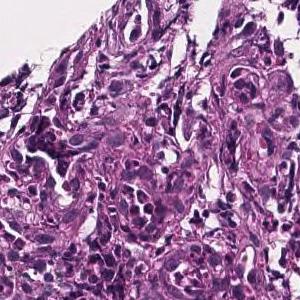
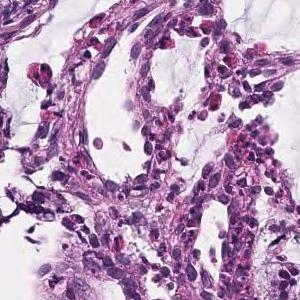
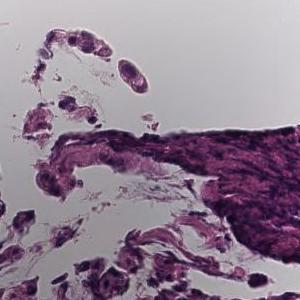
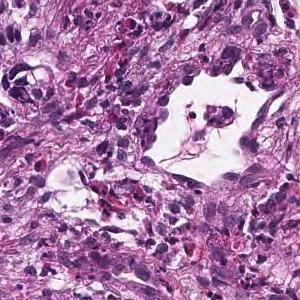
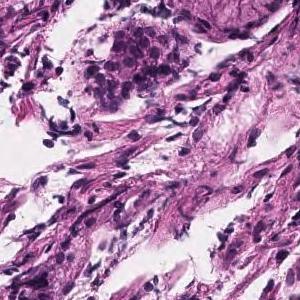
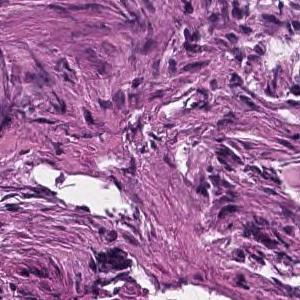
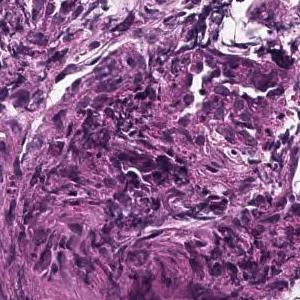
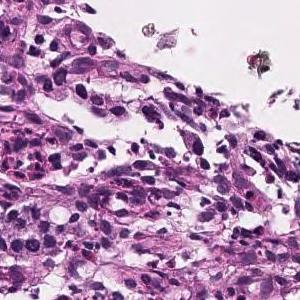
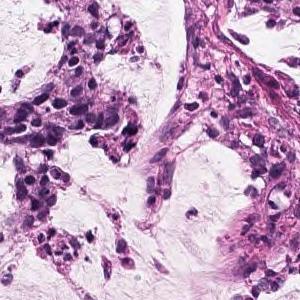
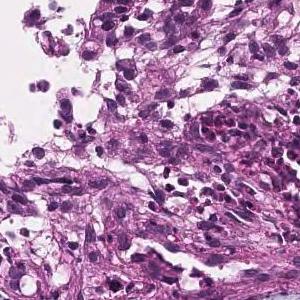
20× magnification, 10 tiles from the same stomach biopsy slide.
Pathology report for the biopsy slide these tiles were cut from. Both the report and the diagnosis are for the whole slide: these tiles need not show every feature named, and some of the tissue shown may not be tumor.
Atypical epithelial cells form obscure ductal structures or small solid follicles, and tumor tissue that proliferates invasively with proliferation of inflammatory granulation tissue is observed. Mucinous adenocarcinoma .
